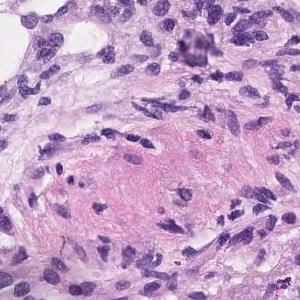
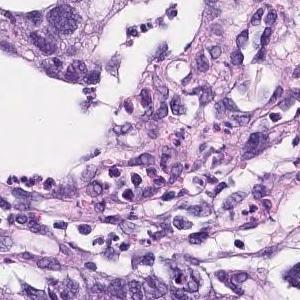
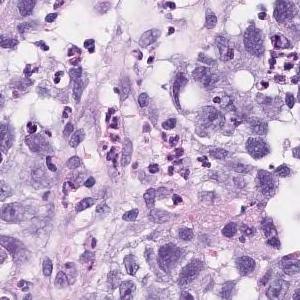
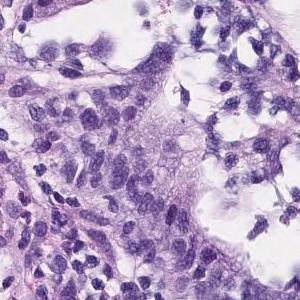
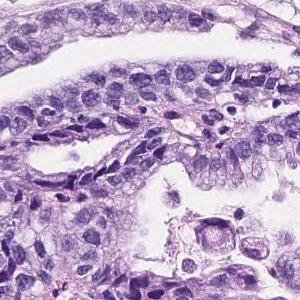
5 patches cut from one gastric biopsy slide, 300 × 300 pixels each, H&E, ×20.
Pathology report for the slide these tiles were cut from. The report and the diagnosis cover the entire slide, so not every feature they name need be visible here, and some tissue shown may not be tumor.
Tumor cells are large, highly columnar, large club-shaped nuclei, and are associated with chromatin aggregation. Papillary adenocarcinoma.
